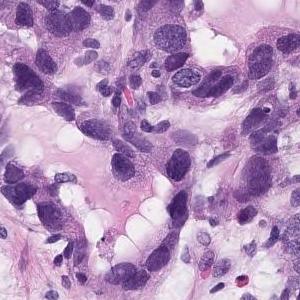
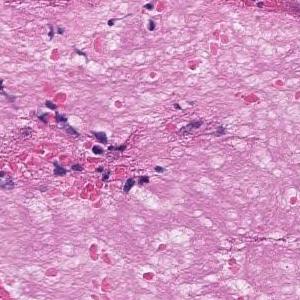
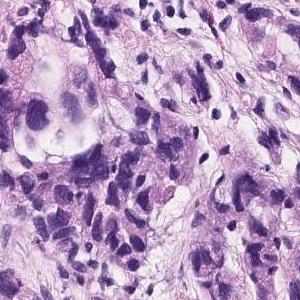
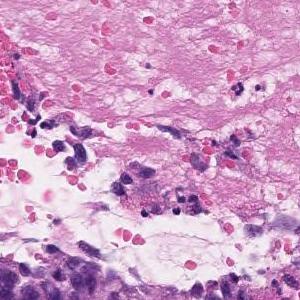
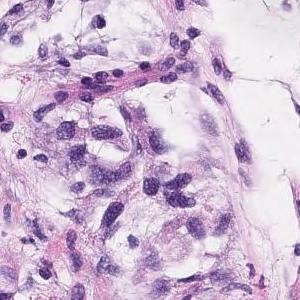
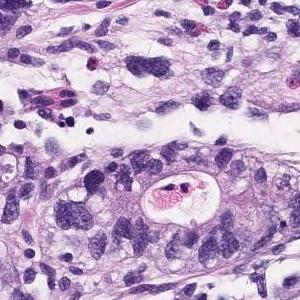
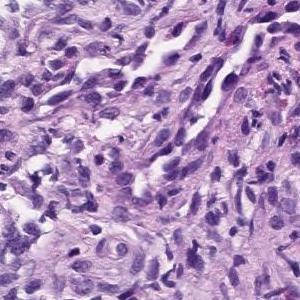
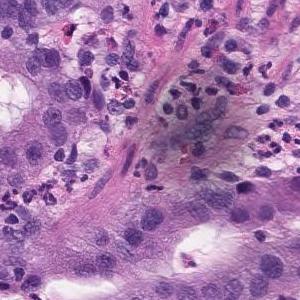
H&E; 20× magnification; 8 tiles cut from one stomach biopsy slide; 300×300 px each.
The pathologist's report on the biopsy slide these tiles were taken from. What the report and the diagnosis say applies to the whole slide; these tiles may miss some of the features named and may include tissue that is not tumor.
Group 5, Adenocarcinoma. Moderately to poorly differentiated adenocarcinoma
